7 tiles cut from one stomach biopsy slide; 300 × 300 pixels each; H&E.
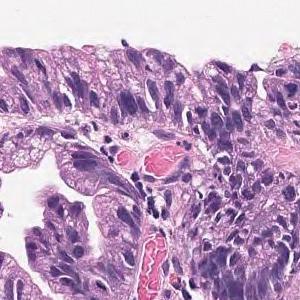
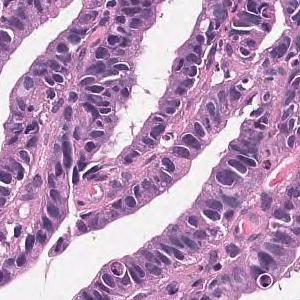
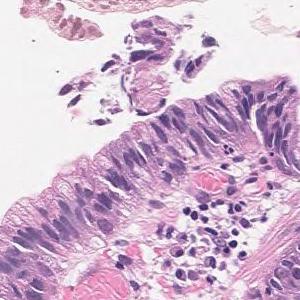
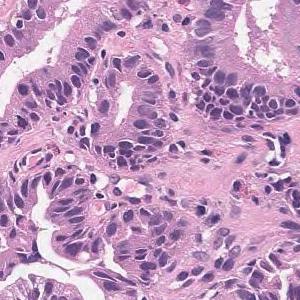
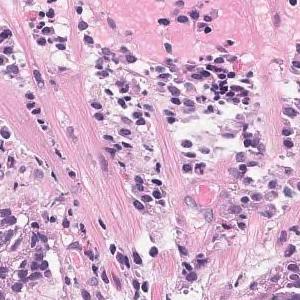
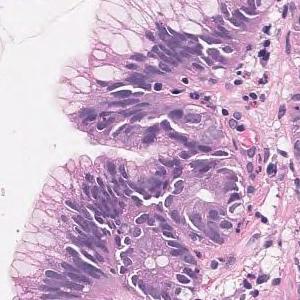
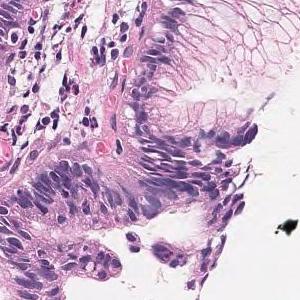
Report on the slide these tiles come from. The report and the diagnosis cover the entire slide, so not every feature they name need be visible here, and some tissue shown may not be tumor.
Tumor tissue that grows tubular from the surface to the glandular fossa is seen. Adenocarcinoma.
Histologic type: Well differentiated tubular adenocarcinoma.
